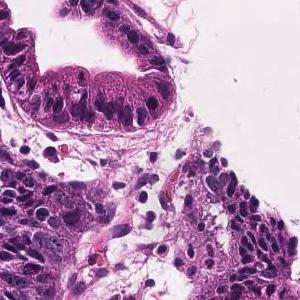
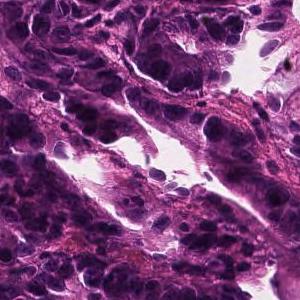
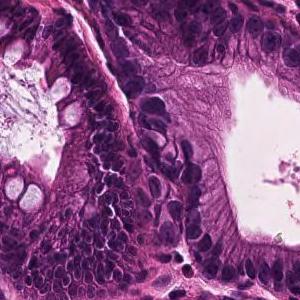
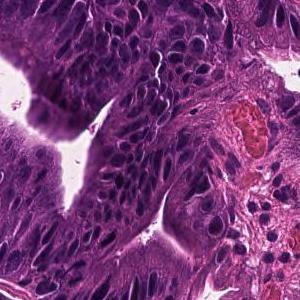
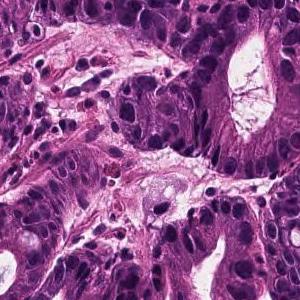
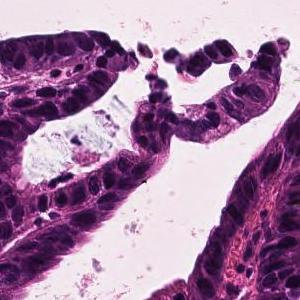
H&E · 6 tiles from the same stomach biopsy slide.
Report on the slide these tiles come from. The report describes the whole slide, diagnosis included: not every finding it names need appear in these tiles, which may also show non-tumor tissue.
In the superficial epithelium, tumor tissue that invades by forming medium-sized to small, irregular ducts is observed. Well differentiated tubular adenocarcinoma.
